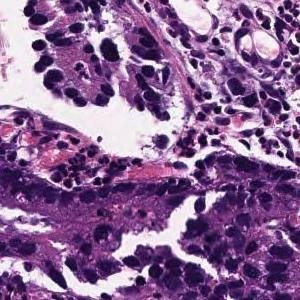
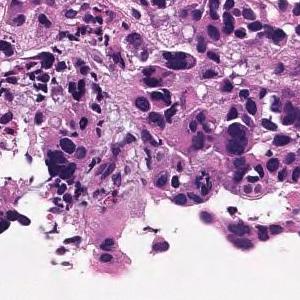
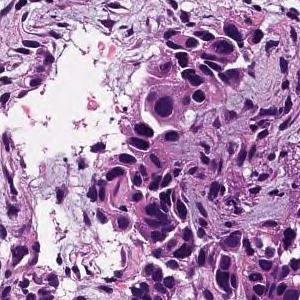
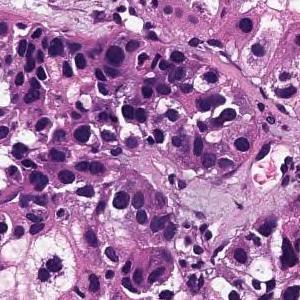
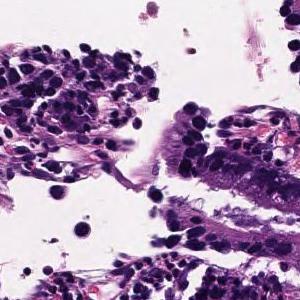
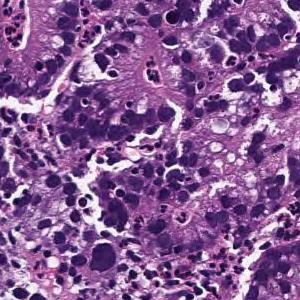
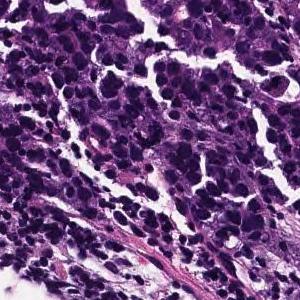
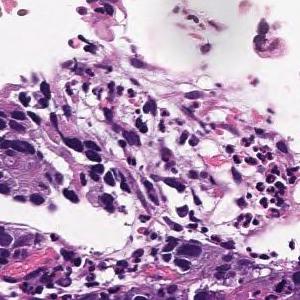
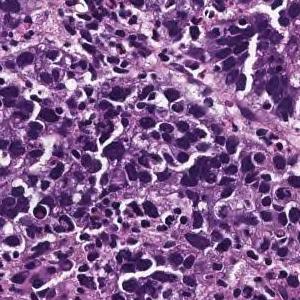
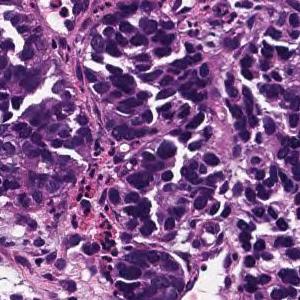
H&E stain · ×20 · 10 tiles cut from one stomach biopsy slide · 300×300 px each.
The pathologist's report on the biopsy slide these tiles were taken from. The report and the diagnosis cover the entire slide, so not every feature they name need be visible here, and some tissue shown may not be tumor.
Medium to small, irregular glandular ducts are formed in the superficial epithelium, and in some cases, the glandular ducts are fused to show solid alveolar lesions and infiltrating tumor tissue is observed. Moderately to poorly differentiated adenocarcinoma.
